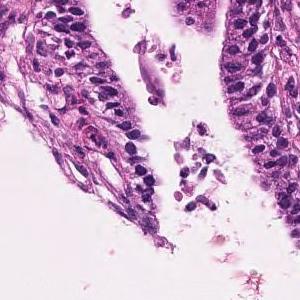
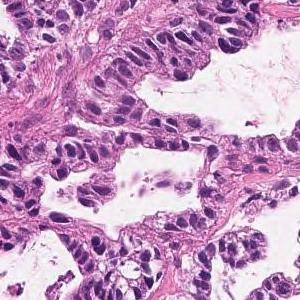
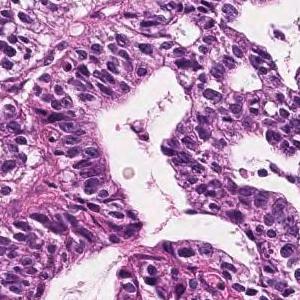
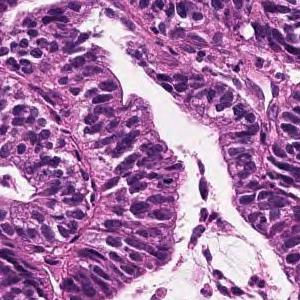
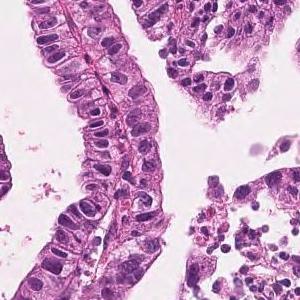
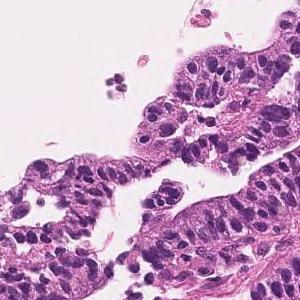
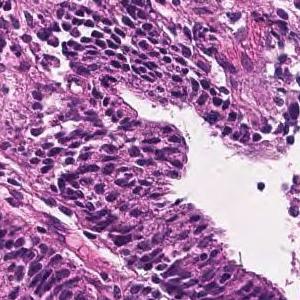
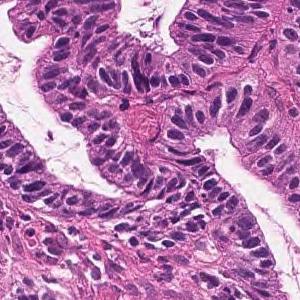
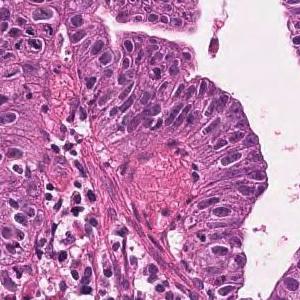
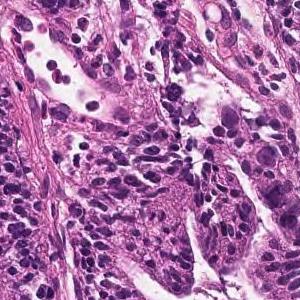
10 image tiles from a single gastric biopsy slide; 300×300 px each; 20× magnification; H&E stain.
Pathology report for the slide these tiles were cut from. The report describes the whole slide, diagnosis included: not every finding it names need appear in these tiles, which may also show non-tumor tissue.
Tumor cells are large, highly columnar, large club-shaped nuclei, and are associated with chromatin aggregation. Papillary adenocarcinoma.
